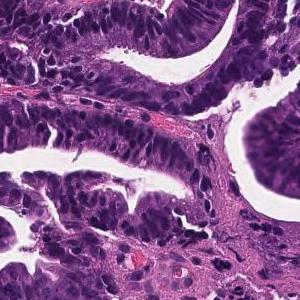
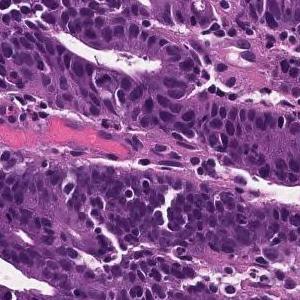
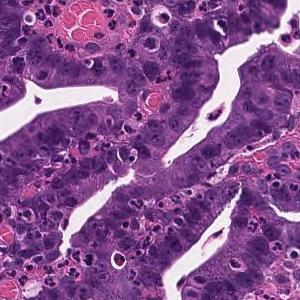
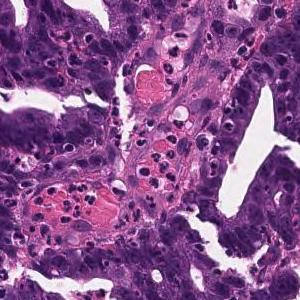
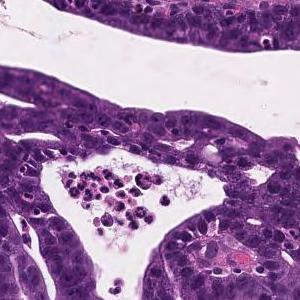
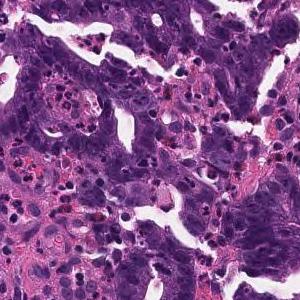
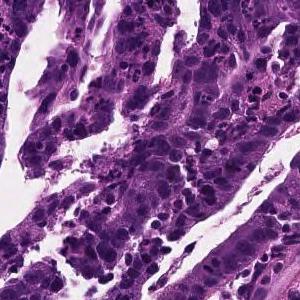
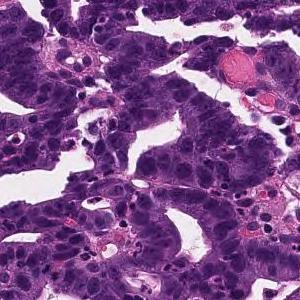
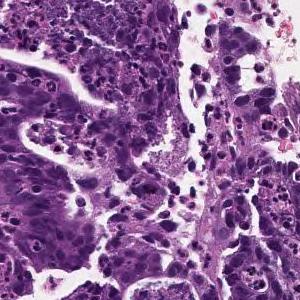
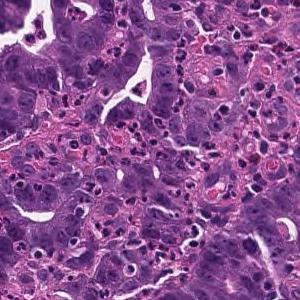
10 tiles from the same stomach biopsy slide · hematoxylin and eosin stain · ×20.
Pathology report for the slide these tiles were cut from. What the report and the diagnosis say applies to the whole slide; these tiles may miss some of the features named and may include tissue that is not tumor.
Tumor cells are large, highly columnar, large club-shaped nuclei, and are associated with chromatin aggregation. Papillary adenocarcinoma.
